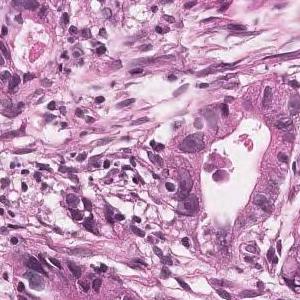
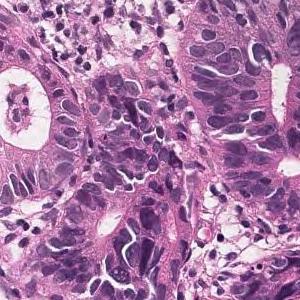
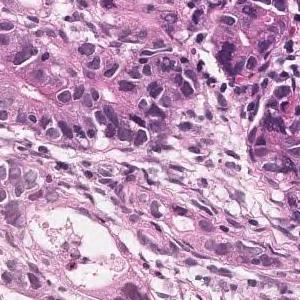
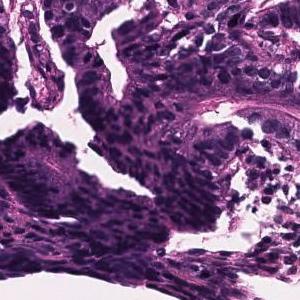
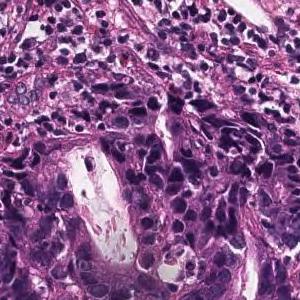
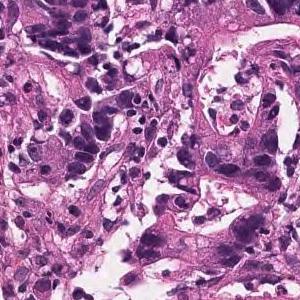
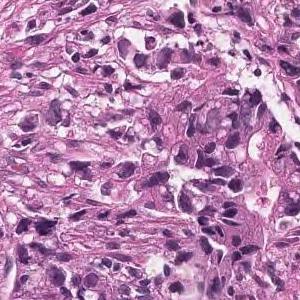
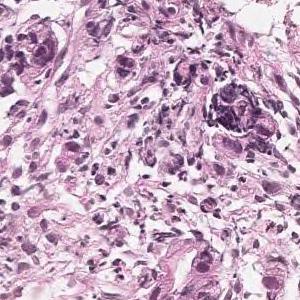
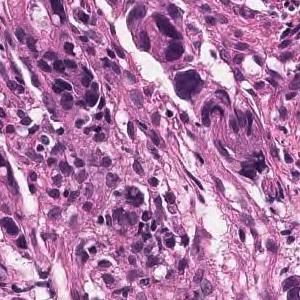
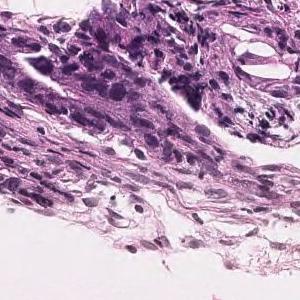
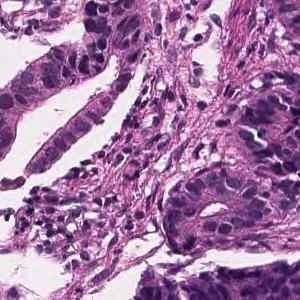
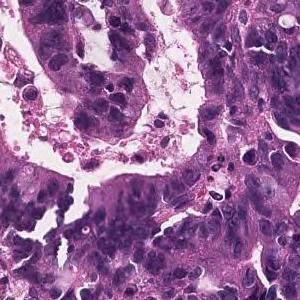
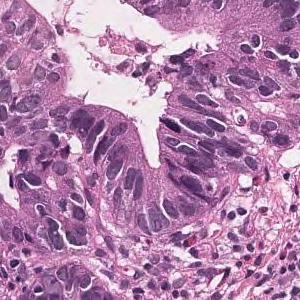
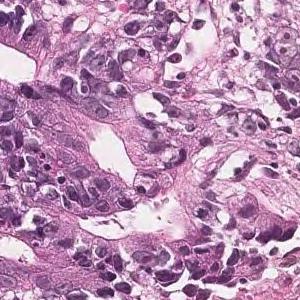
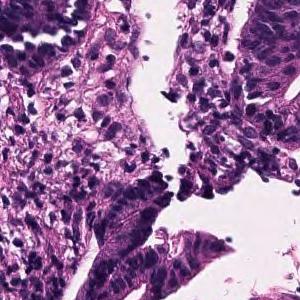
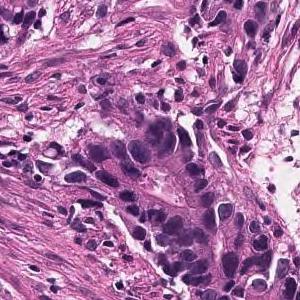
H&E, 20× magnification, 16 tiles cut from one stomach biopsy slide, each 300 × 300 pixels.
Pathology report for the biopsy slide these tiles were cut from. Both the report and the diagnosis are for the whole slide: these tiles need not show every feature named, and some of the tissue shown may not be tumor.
In the superficial epithelium, tumor tissue is found in which medium-sized irregular gland ducts fuse with each other and infiltrate. moderately differentiated tubular adenocarcinoma
